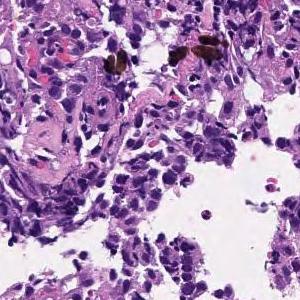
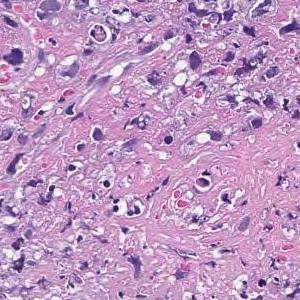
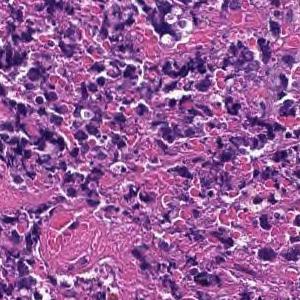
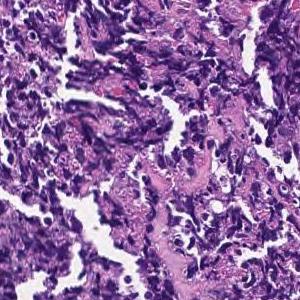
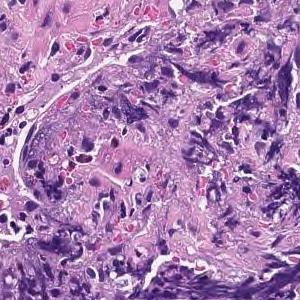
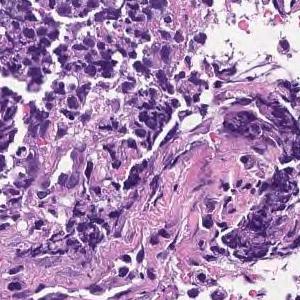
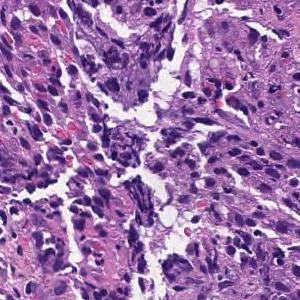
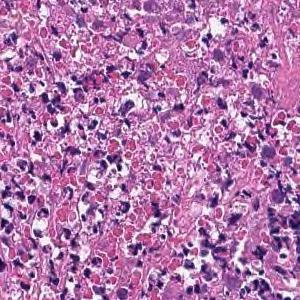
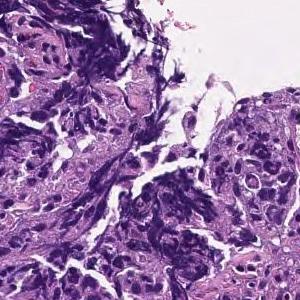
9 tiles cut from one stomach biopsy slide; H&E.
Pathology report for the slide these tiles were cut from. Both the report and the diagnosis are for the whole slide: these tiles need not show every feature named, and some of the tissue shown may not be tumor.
Most are composed of coagulative necrotic tissue, but some show a large sheet-like shape, and some show tumor tissue infiltrating with a small cord-like structure. Poorly differentiated adenocarcinoma, solid-type
Subtype: Poorly differentiated adenocarcinoma, solid type (Japanese Classification of Gastric Carcinoma). The WHO 2019 equivalent is tubular adenocarcinoma, poorly differentiated.
